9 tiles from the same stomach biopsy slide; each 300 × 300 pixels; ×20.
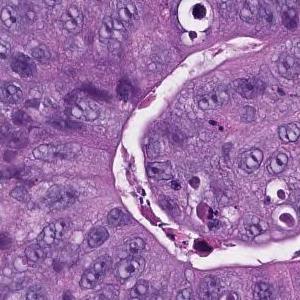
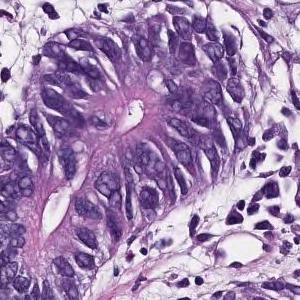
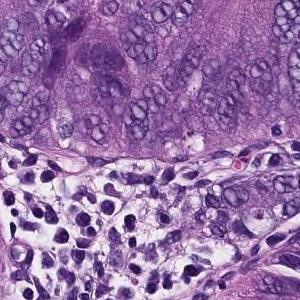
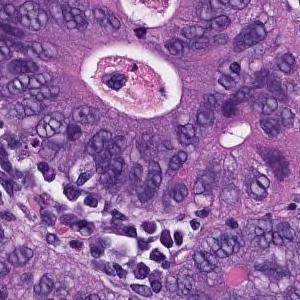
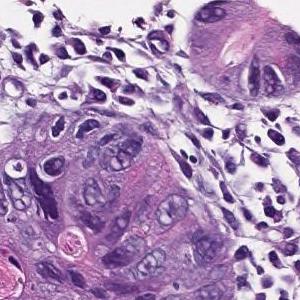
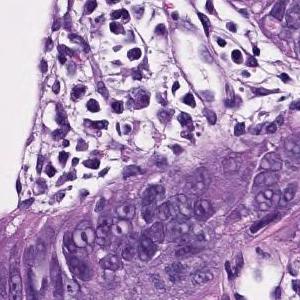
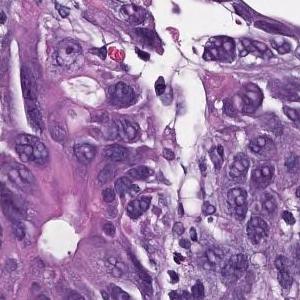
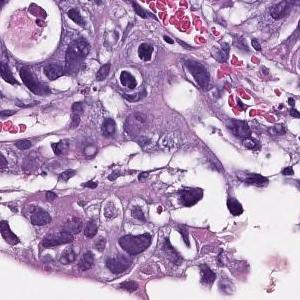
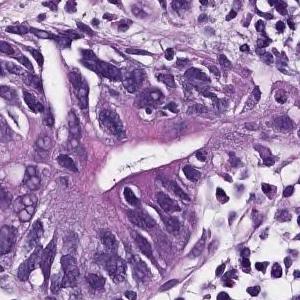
Pathology report for the biopsy slide these tiles were cut from. Both the report and the diagnosis are for the whole slide: these tiles need not show every feature named, and some of the tissue shown may not be tumor.
In the superficial epithelium, tumor tissue that invades by forming medium-sized to small, irregular ducts is observed. moderately differentiated tubular adenocarcinoma.
